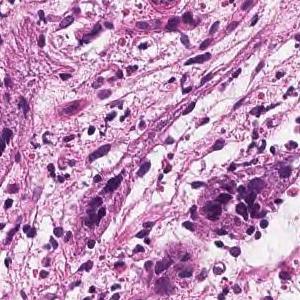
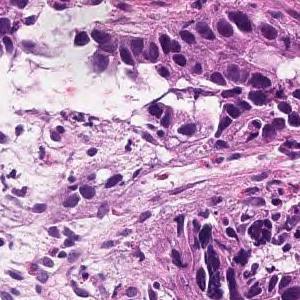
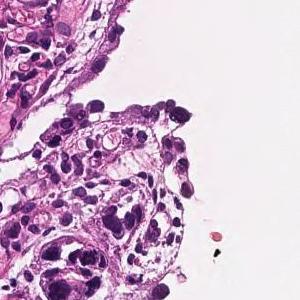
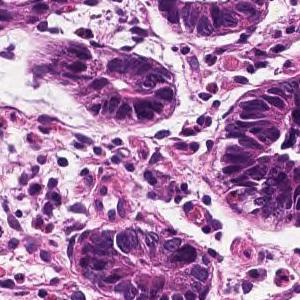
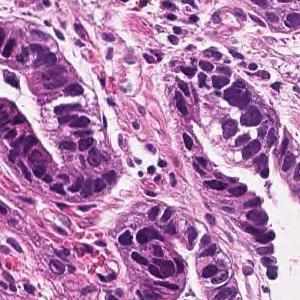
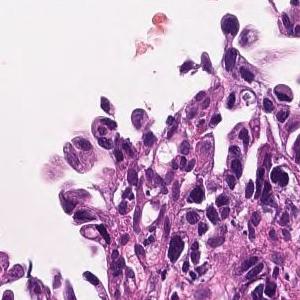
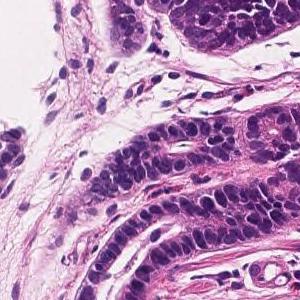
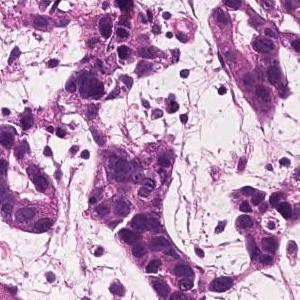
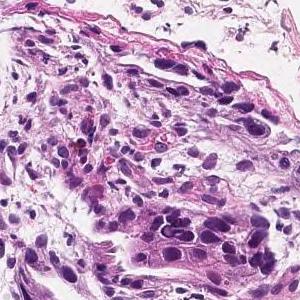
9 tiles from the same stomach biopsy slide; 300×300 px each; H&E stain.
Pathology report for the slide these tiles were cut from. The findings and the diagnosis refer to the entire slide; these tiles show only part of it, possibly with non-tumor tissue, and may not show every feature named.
In the superficial epithelium, tumor tissue that invades by forming medium-sized to small, irregular ducts is observed. Well differentiated tubular adenocarcinoma.
